H&E stain, scanned at ×20, 11 image tiles from a single gastric biopsy slide, 300×300 px each.
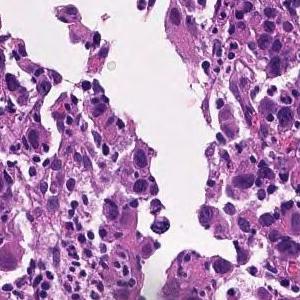
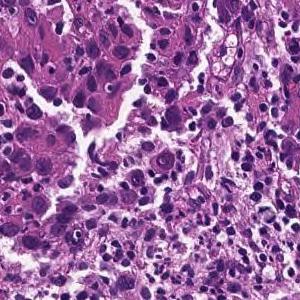
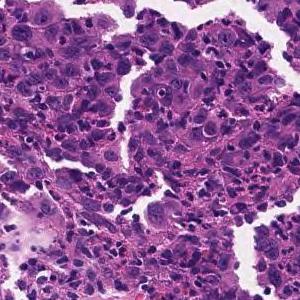
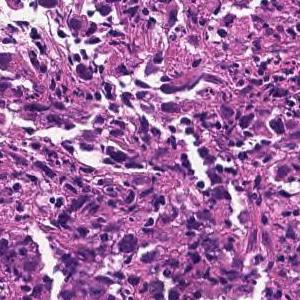
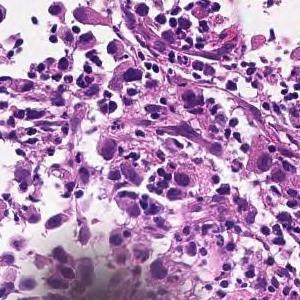
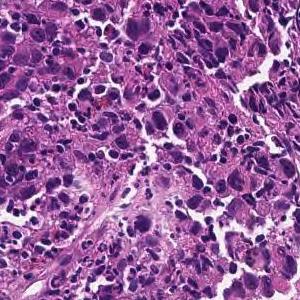
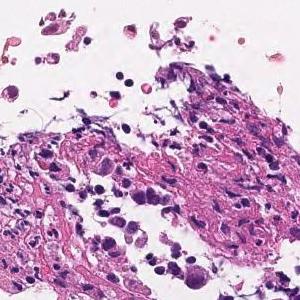
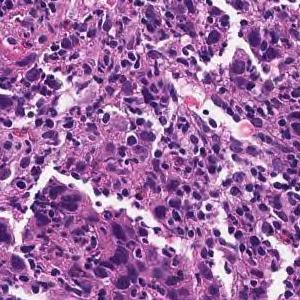
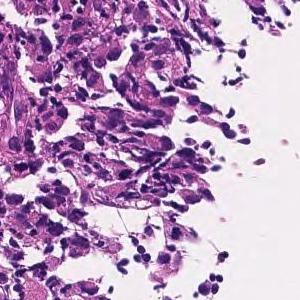
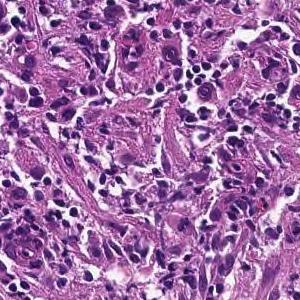
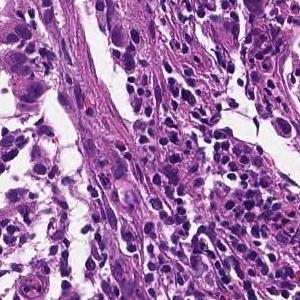
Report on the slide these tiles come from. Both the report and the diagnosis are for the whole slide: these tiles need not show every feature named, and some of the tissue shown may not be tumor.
The superficial epithelium shows a large sheet-like shape, and some tumor tissue infiltrates with small irregular ducts. Poorly differentiated adenocarcinoma, solid-type (poorly differentiated adenocarcinoma, solid type)
Subtype: Poorly differentiated adenocarcinoma, solid type, a category of the Japanese Classification of Gastric Carcinoma; in the WHO 2019 classification it is tubular adenocarcinoma, poorly differentiated.
